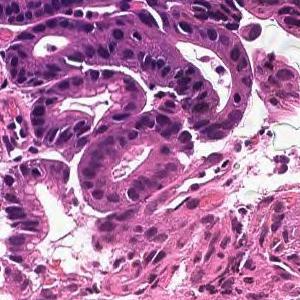
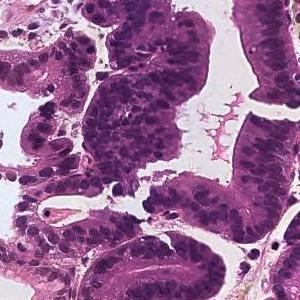
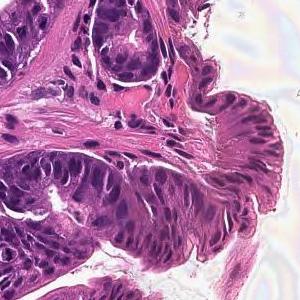
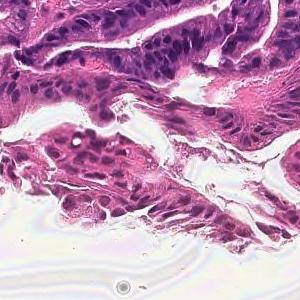
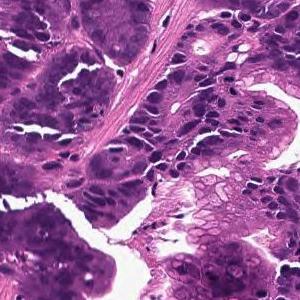
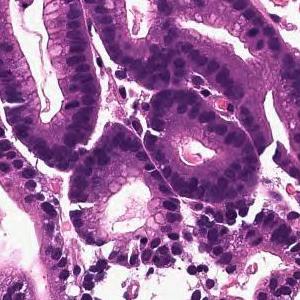
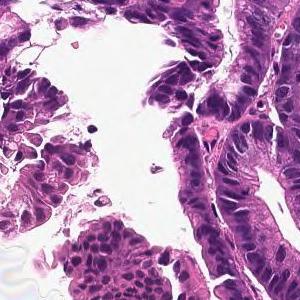
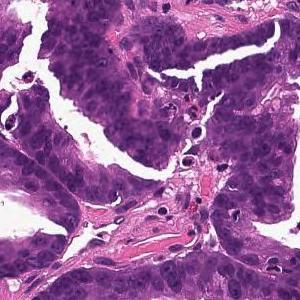
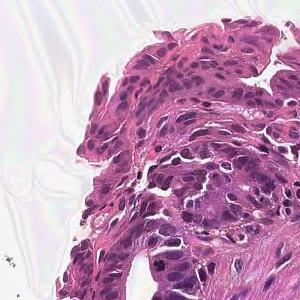
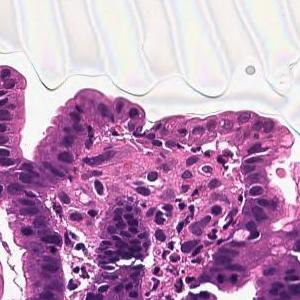
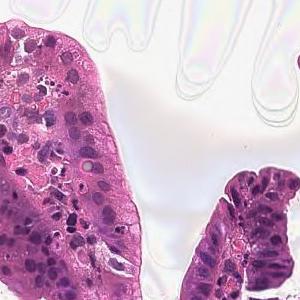
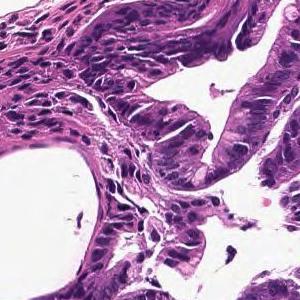
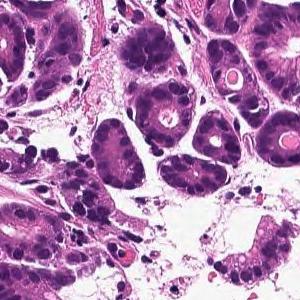
20× magnification; 13 patches cut from one gastric biopsy slide.
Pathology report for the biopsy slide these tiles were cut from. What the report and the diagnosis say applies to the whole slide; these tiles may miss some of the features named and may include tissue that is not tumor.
From the superficial epithelium to the muscularis mucosae, tumor tissue consisting of medium-sized and irregular glandular ducts infiltrating is observed. Well differentiated tubular adenocarcinoma
